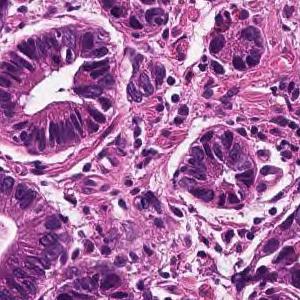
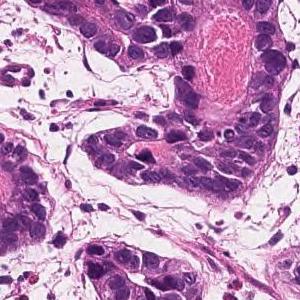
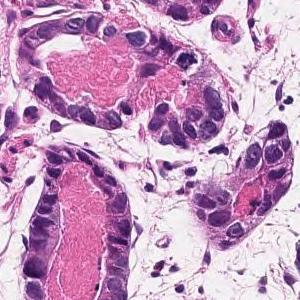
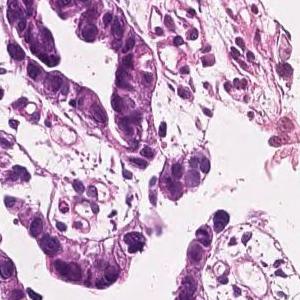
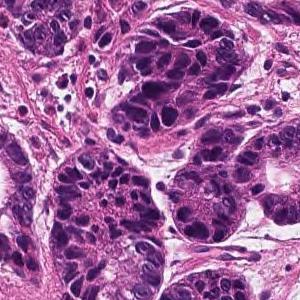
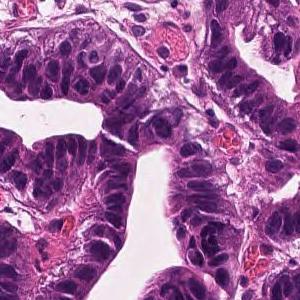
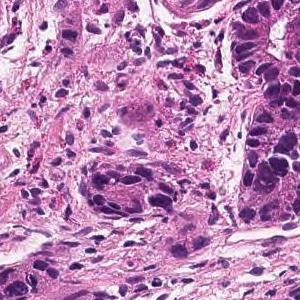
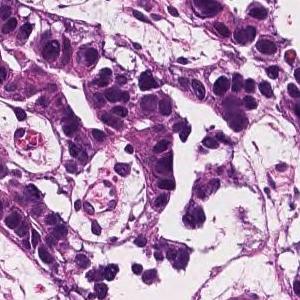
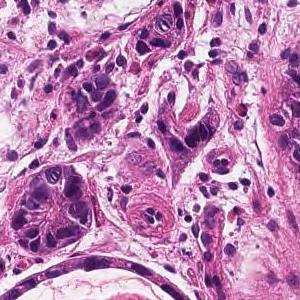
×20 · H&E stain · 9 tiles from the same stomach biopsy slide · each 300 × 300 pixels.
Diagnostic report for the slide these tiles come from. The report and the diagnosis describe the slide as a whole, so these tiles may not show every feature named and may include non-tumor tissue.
In the superficial epithelium, tumor tissue that invades by forming medium-sized to small, irregular ducts is observed. Well differentiated tubular adenocarcinoma.
